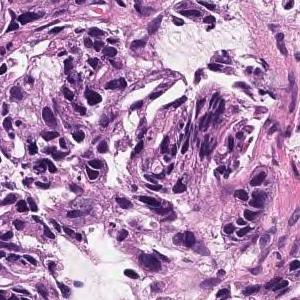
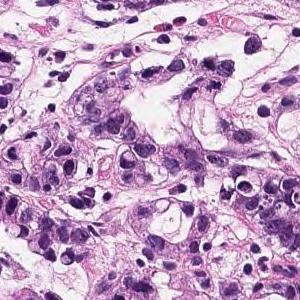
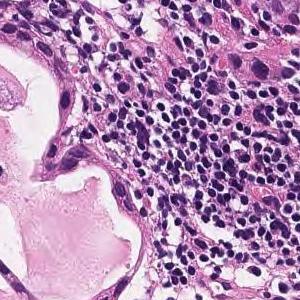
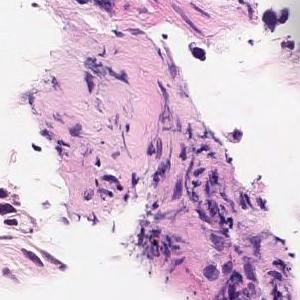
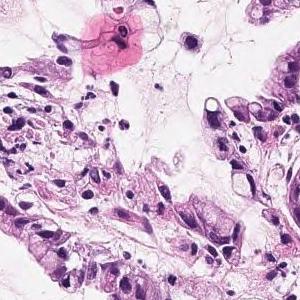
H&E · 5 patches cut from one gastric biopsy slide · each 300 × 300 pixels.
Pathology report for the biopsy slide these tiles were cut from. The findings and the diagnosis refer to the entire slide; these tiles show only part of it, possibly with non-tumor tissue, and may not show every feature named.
In the superficial epithelium, tumor tissue that invades by forming medium-sized to small, irregular ducts is observed. Moderately differentiated adenocarcinoma.
Classified as moderately differentiated tubular adenocarcinoma.
